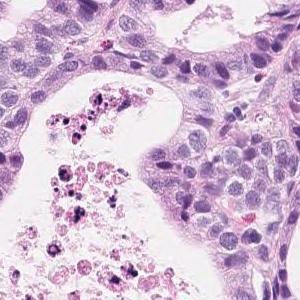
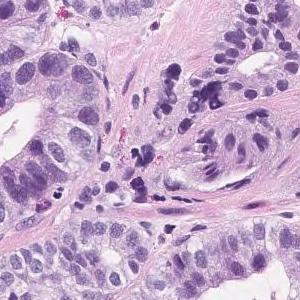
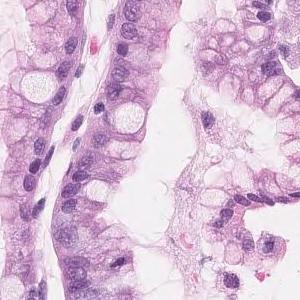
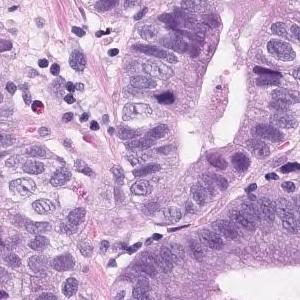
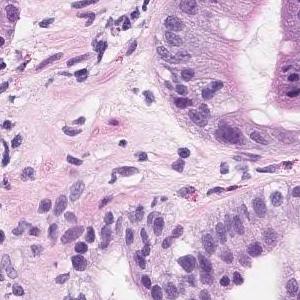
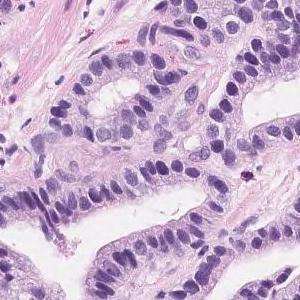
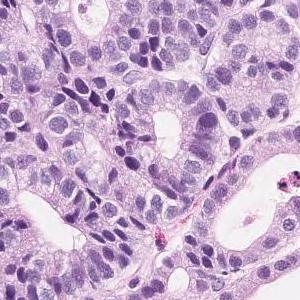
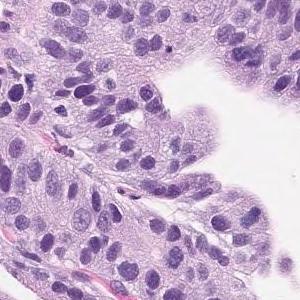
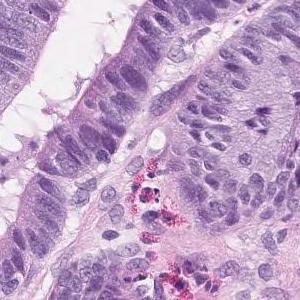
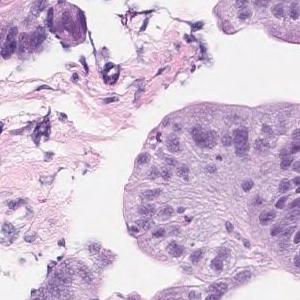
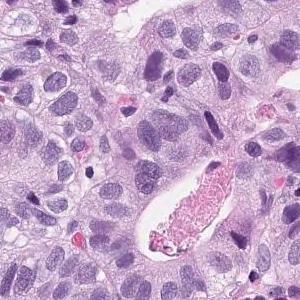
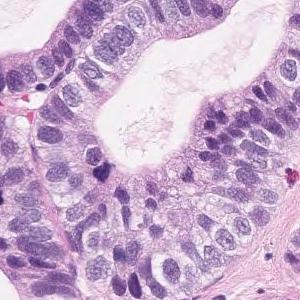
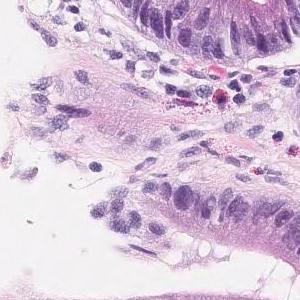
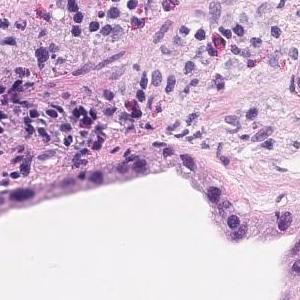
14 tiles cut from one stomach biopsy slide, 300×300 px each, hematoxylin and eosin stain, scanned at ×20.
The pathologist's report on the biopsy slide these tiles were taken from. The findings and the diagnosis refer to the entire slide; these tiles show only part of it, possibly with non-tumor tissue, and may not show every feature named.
Short atypical epithelium with swelling of the nucleus shows proliferating, large and small irregular ductal structures. Well to moderately differentiated tubular adenocarcinoma (well differentiated tubular adenocarcinoma-moderately differentiated tubular adenocarcinoma)
Tumor subtype: well to moderately differentiated tubular adenocarcinoma.
